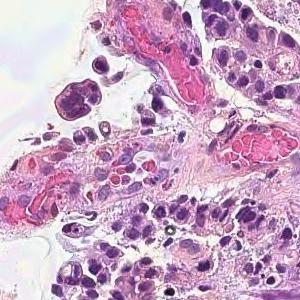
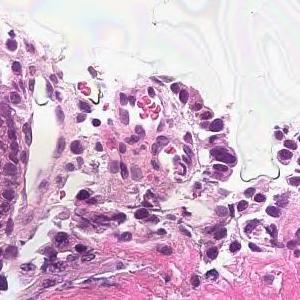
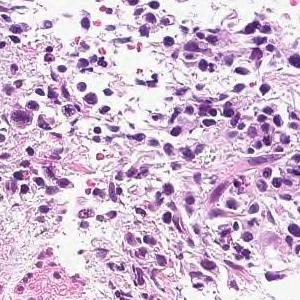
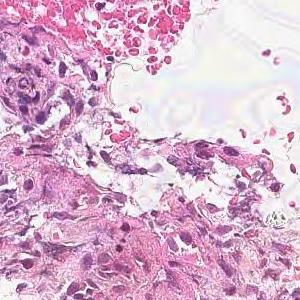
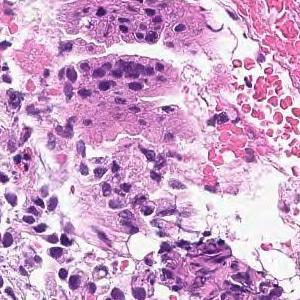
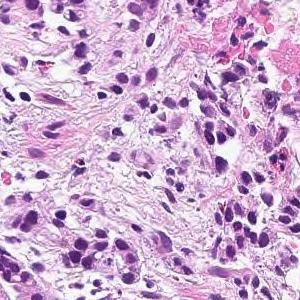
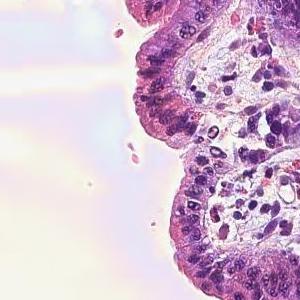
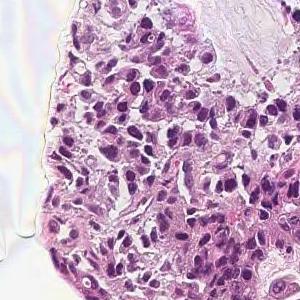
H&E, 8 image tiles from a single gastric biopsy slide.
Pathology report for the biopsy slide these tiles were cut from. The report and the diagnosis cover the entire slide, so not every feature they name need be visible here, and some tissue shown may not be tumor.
Tumor tissue consisting of medium-sized, cord-like or irregular glandular infiltration is observed in the superficial epithelium. Poorly differentiated adenocarcinoma, non-solid type or moderately differentiated tubular adenocarcinoma
Classified as moderately to poorly differentiated adenocarcinoma.
"Non-solid type" is a category of the Japanese Classification of Gastric Carcinoma.
